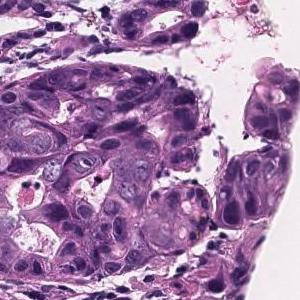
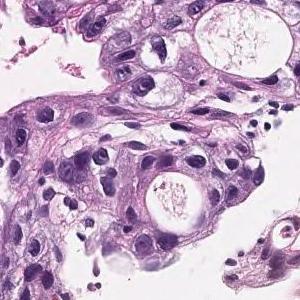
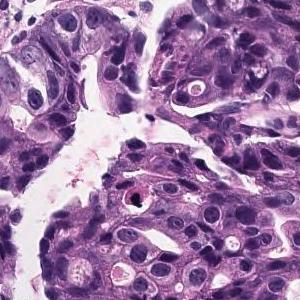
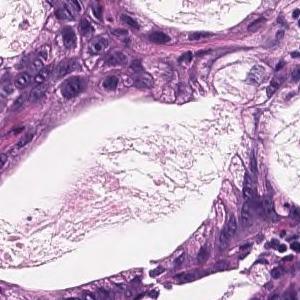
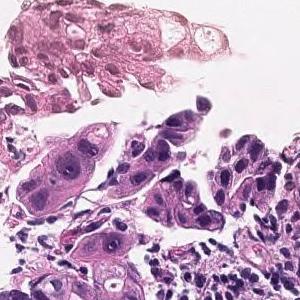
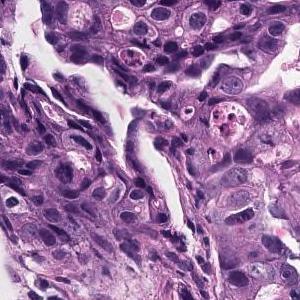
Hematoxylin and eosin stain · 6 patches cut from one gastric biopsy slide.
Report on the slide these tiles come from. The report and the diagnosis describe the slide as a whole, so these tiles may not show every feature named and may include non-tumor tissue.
Tumor cells are large, highly columnar, large club-shaped nuclei, and are associated with chromatin aggregation. Papillary adenocarcinoma.
